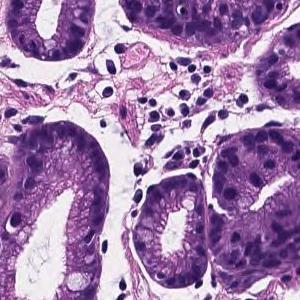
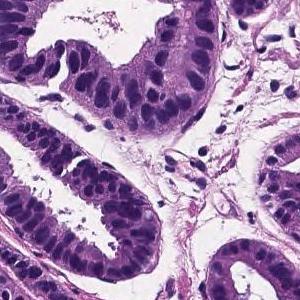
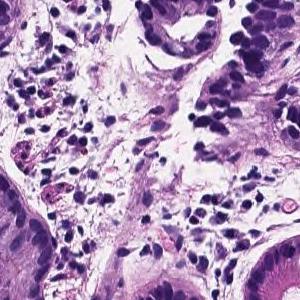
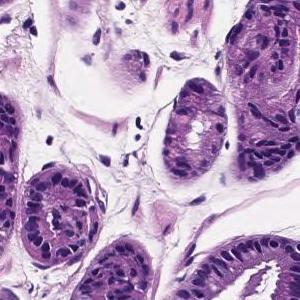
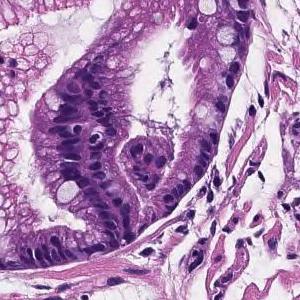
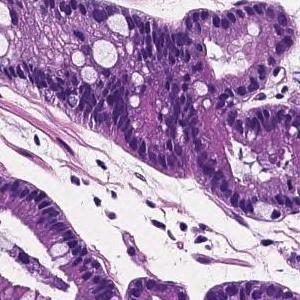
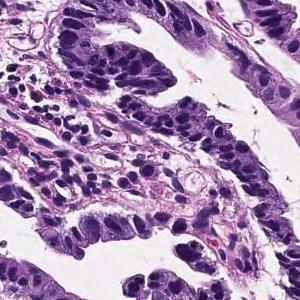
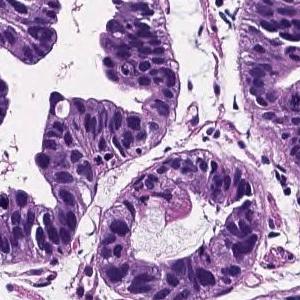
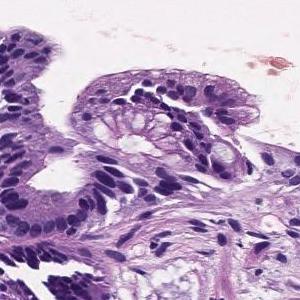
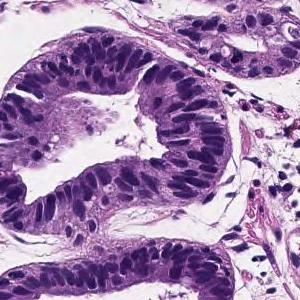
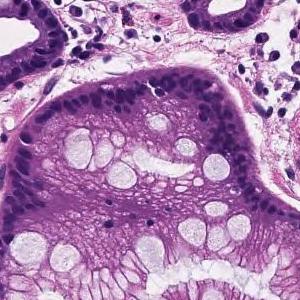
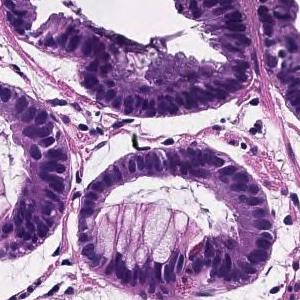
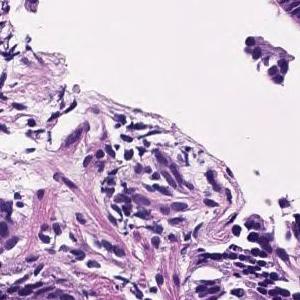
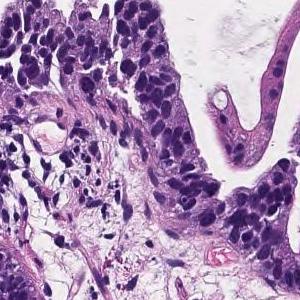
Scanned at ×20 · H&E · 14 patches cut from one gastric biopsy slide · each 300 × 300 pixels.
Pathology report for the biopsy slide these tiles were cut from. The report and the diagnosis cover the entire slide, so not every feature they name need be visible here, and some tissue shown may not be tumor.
Tumor cells are large, highly columnar, large club-shaped nuclei, and are associated with chromatin aggregation. Papillary adenocarcinoma.
